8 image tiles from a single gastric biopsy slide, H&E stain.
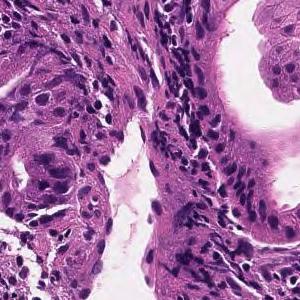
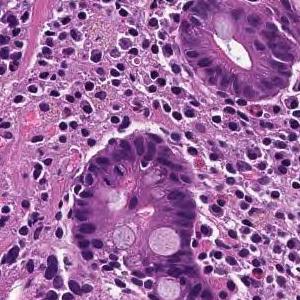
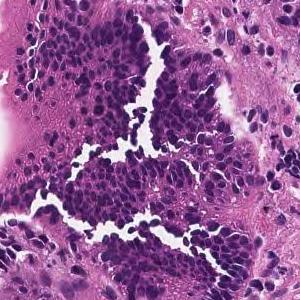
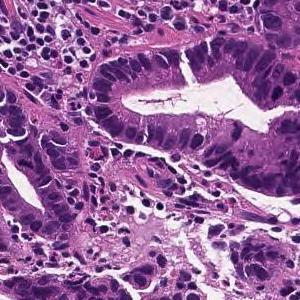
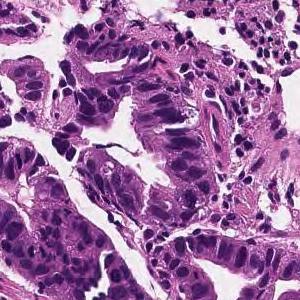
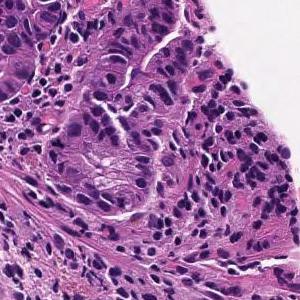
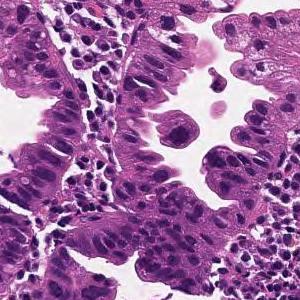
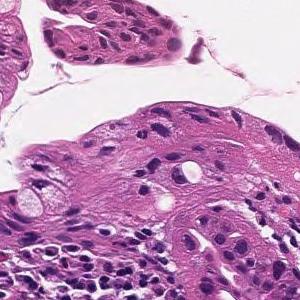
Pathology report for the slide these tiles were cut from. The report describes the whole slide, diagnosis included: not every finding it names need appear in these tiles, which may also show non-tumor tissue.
From the superficial epithelium to the muscularis mucosae, tumor tissue consisting of medium-sized and irregular glandular ducts infiltrating is observed. Well differentiated tubular adenocarcinoma
